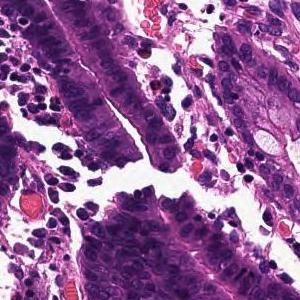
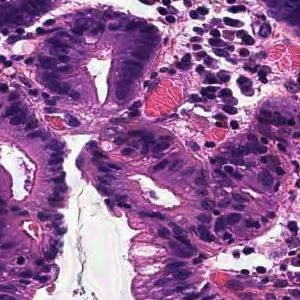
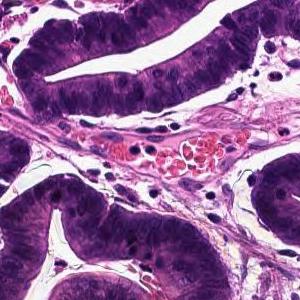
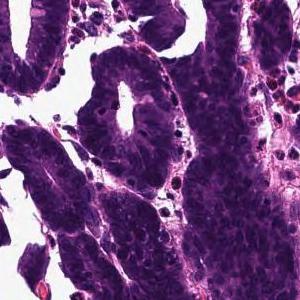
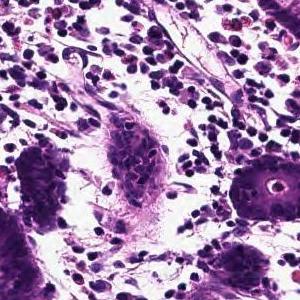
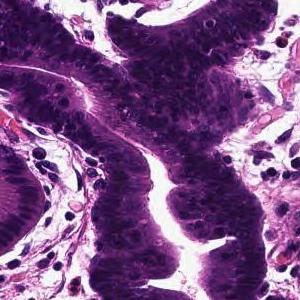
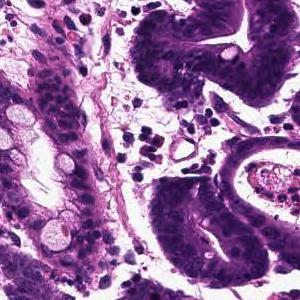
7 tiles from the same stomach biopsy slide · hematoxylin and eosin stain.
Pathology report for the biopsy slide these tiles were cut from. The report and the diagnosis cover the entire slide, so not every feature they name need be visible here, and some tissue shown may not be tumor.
Tumor tissue that infiltrates by forming large papillary or large irregular glandular ducts is observed confined to the mucosa. Papillary adenocarcinoma
